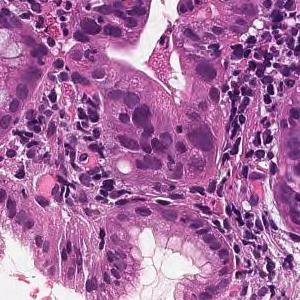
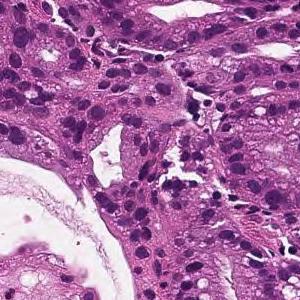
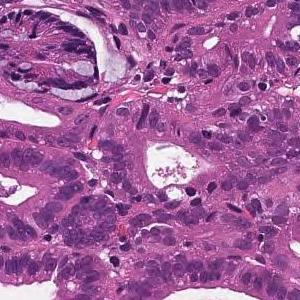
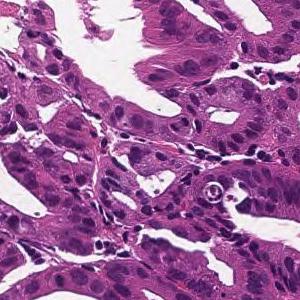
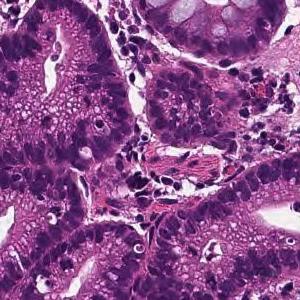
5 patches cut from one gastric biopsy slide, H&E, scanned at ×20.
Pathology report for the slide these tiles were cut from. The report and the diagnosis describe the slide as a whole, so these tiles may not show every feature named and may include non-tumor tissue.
In the superficial epithelium, tumor tissue that invades by forming medium-sized to small, irregular ducts is observed. moderately differentiated tubular adenocarcinoma.
